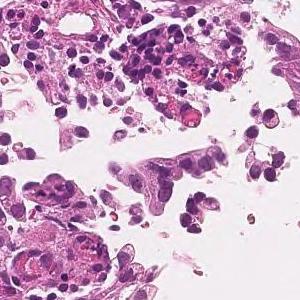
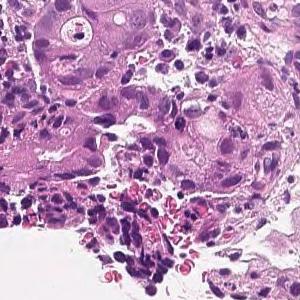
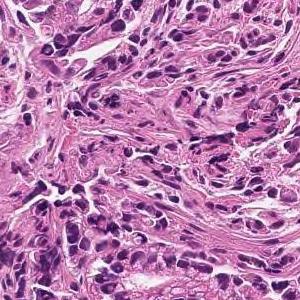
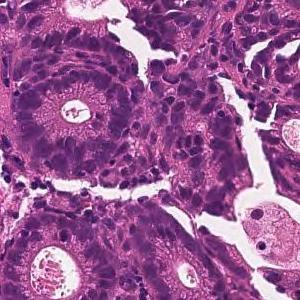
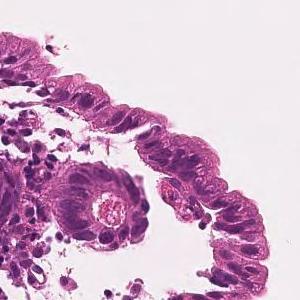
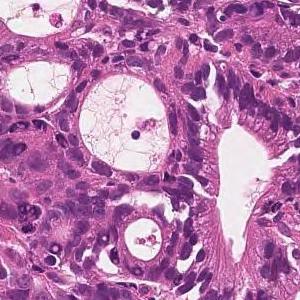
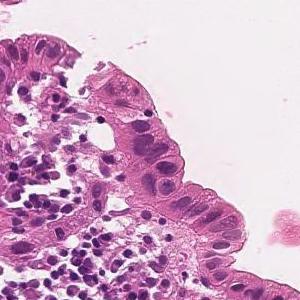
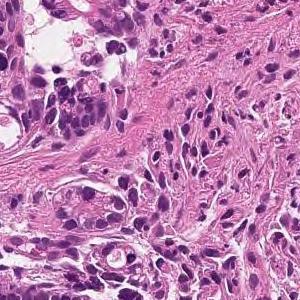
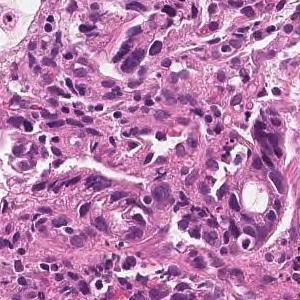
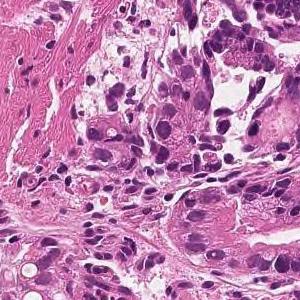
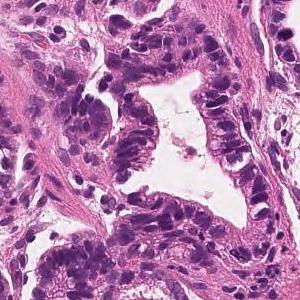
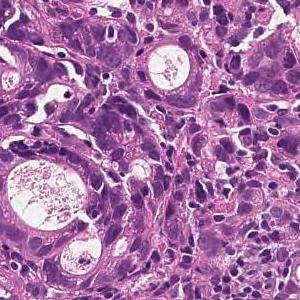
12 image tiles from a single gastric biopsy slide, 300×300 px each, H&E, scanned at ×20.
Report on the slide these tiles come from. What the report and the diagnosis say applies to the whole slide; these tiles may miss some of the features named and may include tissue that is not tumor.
On the superficial epithelium, tumor tissue is found in which medium-sized irregular gland ducts fuse with each other and infiltrate. moderately differentiated tubular adenocarcinoma
